20× magnification, 6 tiles from the same stomach biopsy slide, 300×300 px each.
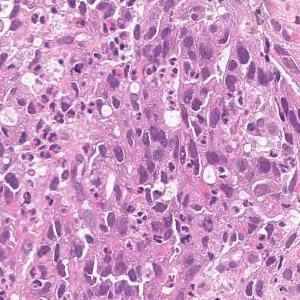
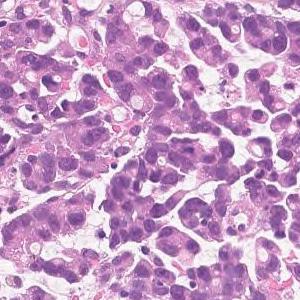
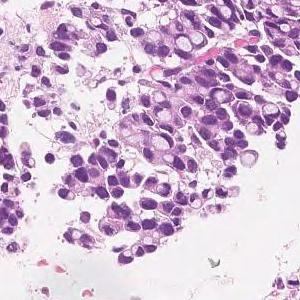
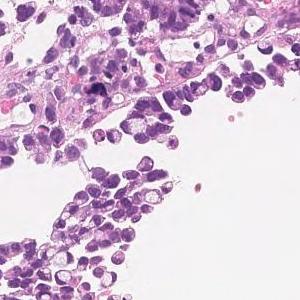
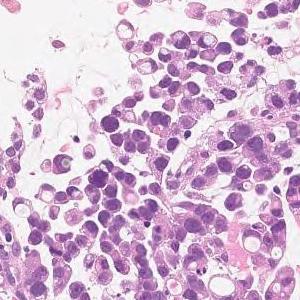
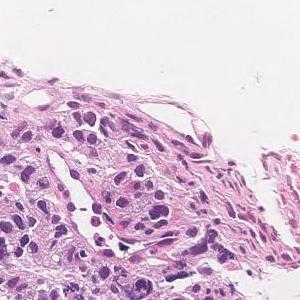
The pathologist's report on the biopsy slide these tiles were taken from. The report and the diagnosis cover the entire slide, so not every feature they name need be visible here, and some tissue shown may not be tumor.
Medium to small, irregular glandular ducts are formed in the superficial epithelium, and in some cases, the glandular ducts are fused to show solid alveolar lesions and infiltrating tumor tissue is observed. Moderately to poorly differentiated adenocarcinoma.
